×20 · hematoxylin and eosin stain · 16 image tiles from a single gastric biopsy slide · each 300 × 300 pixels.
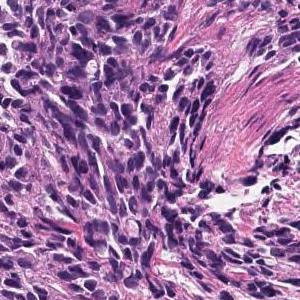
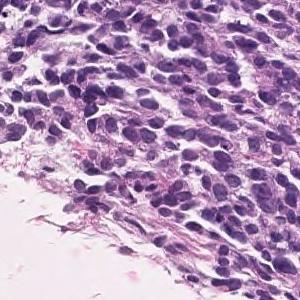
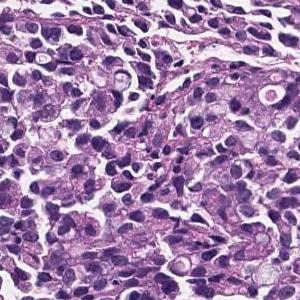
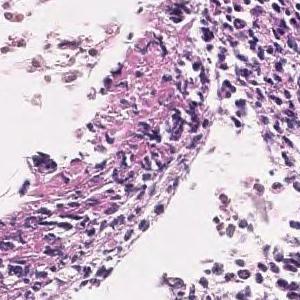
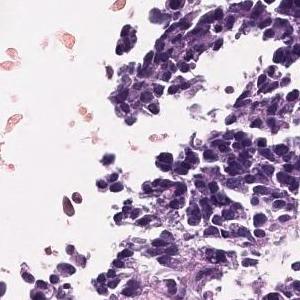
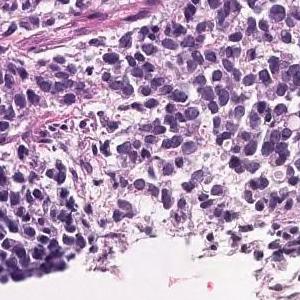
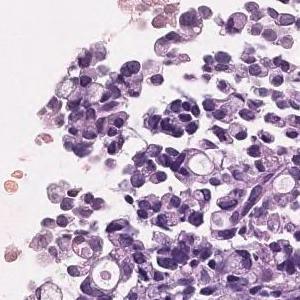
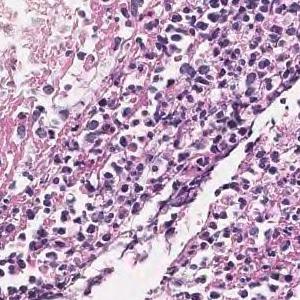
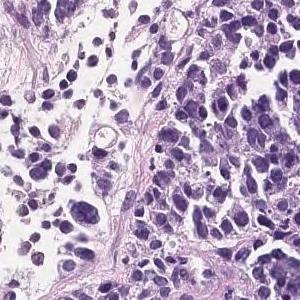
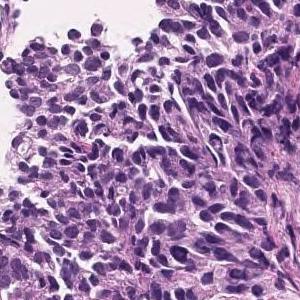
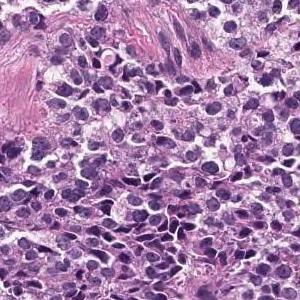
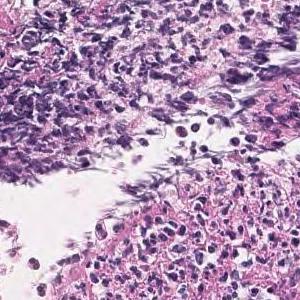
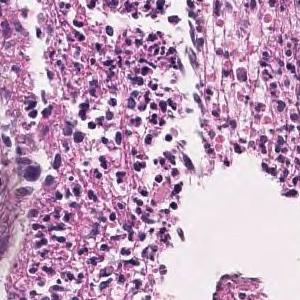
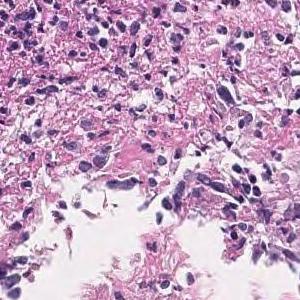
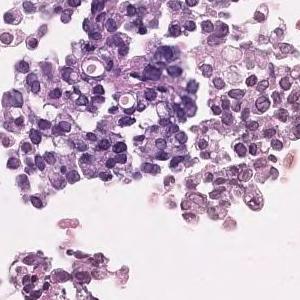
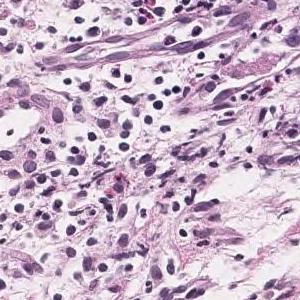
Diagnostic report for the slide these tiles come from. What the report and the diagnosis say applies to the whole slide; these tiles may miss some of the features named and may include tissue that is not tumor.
The superficial epithelium shows a large sheet-like shape, and some tumor tissue infiltrates with small irregular ducts. Poorly differentiated adenocarcinoma, solid-type
Subtype: Poorly differentiated adenocarcinoma, solid type (Japanese Classification of Gastric Carcinoma). The WHO 2019 equivalent is tubular adenocarcinoma, poorly differentiated.
